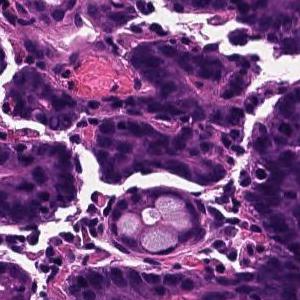
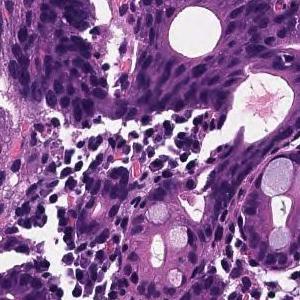
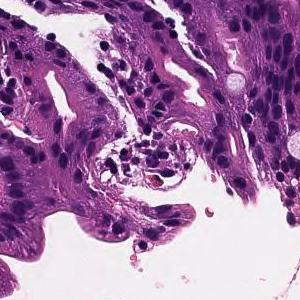
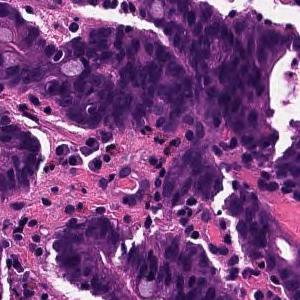
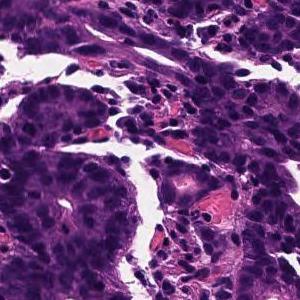
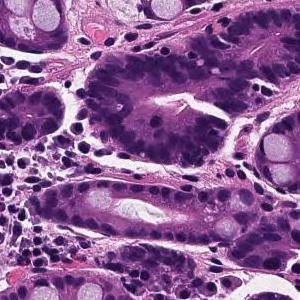
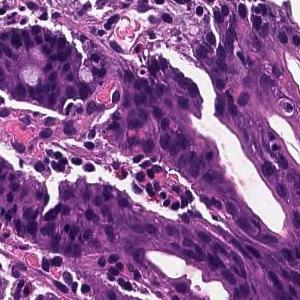
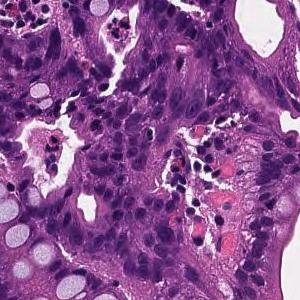
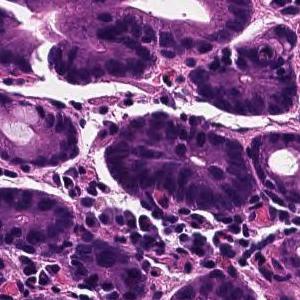
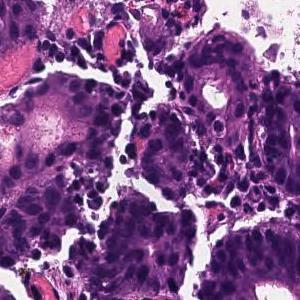
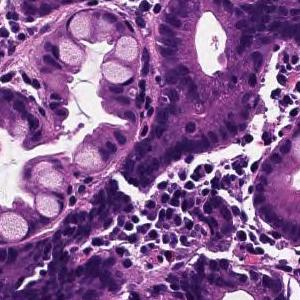
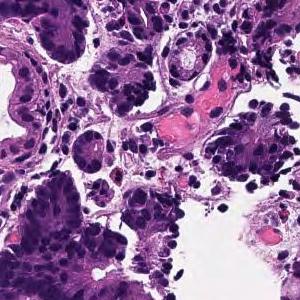
12 tiles cut from one stomach biopsy slide; 300×300 px each; H&E.
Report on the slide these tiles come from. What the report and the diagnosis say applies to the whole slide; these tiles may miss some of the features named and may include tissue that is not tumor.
In the superficial epithelium, tumor tissue that invades by forming medium-sized to small, irregular ducts is observed. moderately differentiated tubular adenocarcinoma.
